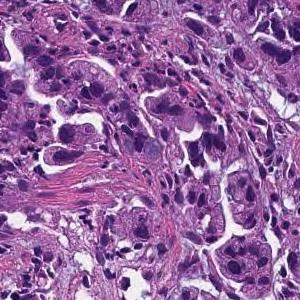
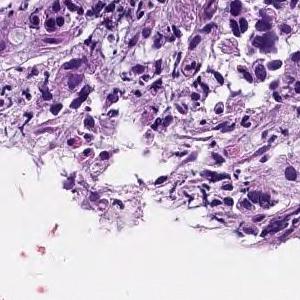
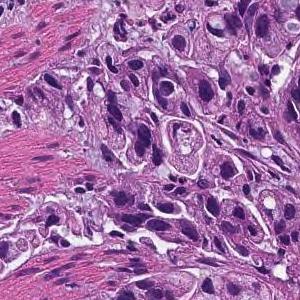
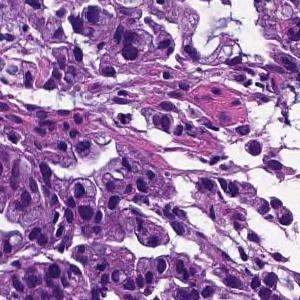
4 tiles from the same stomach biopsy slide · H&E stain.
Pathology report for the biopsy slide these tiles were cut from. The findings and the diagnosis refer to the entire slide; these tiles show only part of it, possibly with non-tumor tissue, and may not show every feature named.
Tumor tissue consisting of medium-sized, cord-like or irregular glandular infiltration is observed in the superficial epithelium. Poorly differentiated adenocarcinoma, non-solid type or moderately differentiated tubular adenocarcinoma
Tumor subtype: moderately to poorly differentiated adenocarcinoma.
"Non-solid type" is a category of the Japanese Classification of Gastric Carcinoma.
